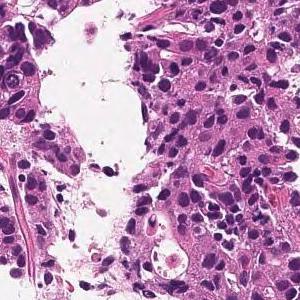
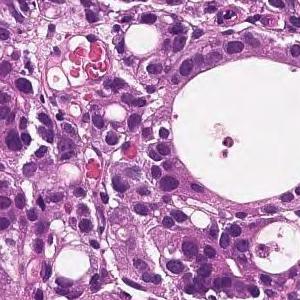
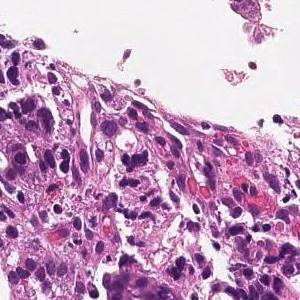
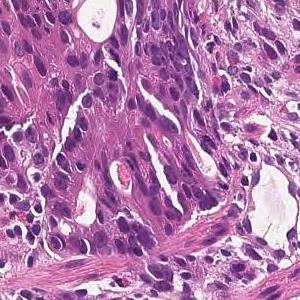
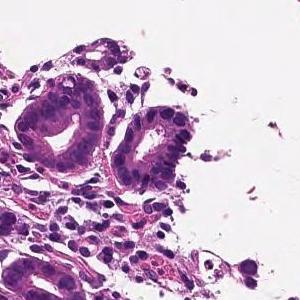
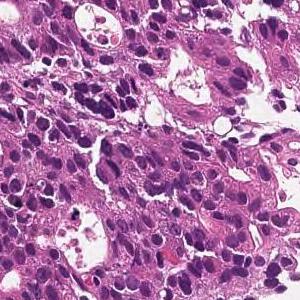
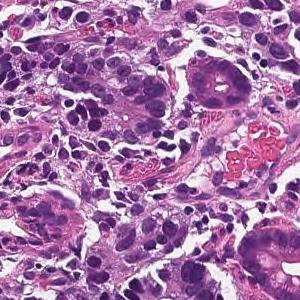
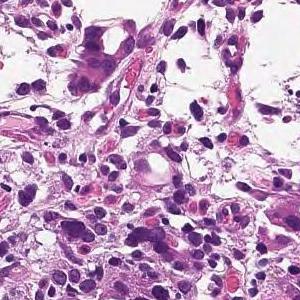
8 image tiles from a single gastric biopsy slide, 300 × 300 pixels each, scanned at ×20, hematoxylin and eosin stain.
Pathology report for the slide these tiles were cut from. The report and the diagnosis describe the slide as a whole, so these tiles may not show every feature named and may include non-tumor tissue.
On the superficial epithelium, tumor tissue is found in which medium-sized irregular gland ducts fuse with each other and infiltrate. moderately differentiated tubular adenocarcinoma
